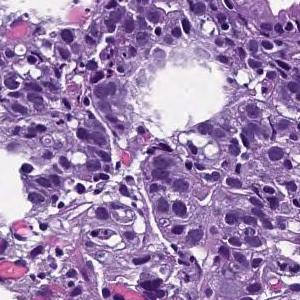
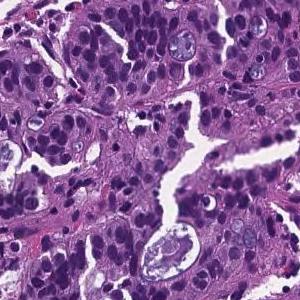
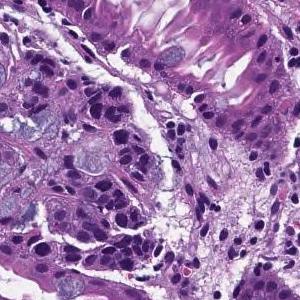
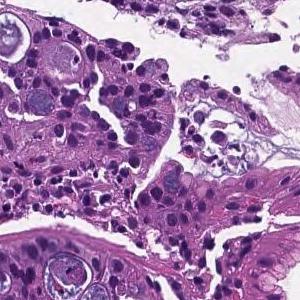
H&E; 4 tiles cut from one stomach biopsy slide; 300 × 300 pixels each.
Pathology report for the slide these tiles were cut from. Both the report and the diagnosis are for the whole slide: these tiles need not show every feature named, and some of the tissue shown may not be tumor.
In the superficial epithelium, tumor tissue that invades by forming medium-sized to small, irregular ducts is observed. moderately differentiated tubular adenocarcinoma.
